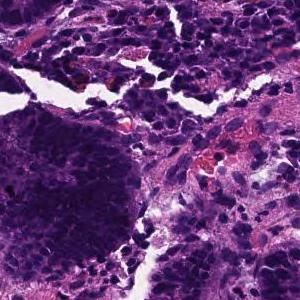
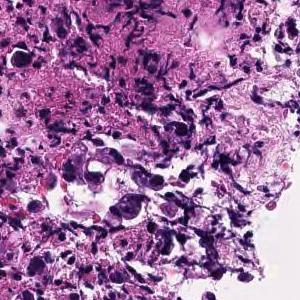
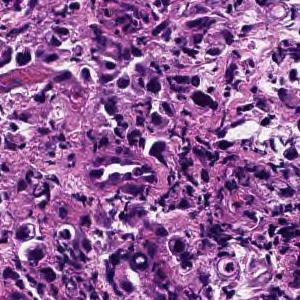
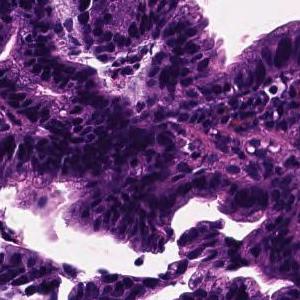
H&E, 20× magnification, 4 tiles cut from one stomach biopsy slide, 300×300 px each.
Pathology report for the biopsy slide these tiles were cut from. Both the report and the diagnosis are for the whole slide: these tiles need not show every feature named, and some of the tissue shown may not be tumor.
On the superficial epithelium, tumor tissue that infiltrates by forming medium-sized papillary or small irregular ducts is observed. Papillary adenocarcinoma
